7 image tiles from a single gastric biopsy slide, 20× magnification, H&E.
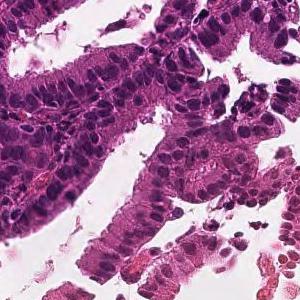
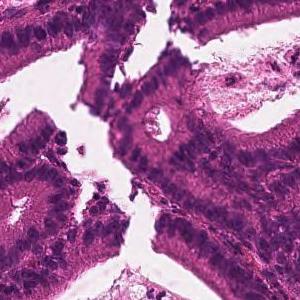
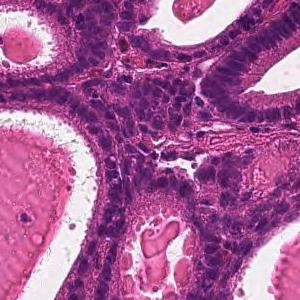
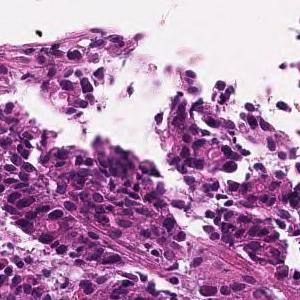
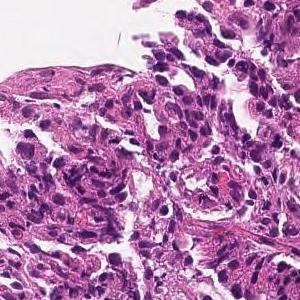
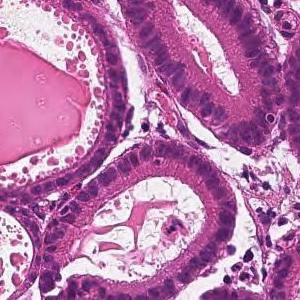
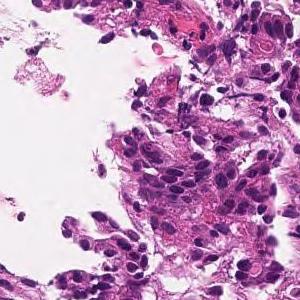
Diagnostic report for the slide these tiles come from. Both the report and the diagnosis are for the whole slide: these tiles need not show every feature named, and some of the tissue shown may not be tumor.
From the superficial epithelium to the muscularis mucosae, tumor tissue consisting of medium-sized and irregular glandular ducts infiltrating is observed. Well differentiated tubular adenocarcinoma
